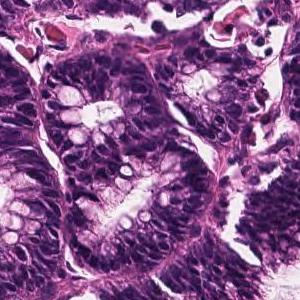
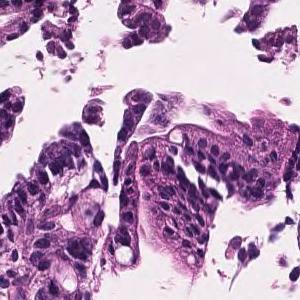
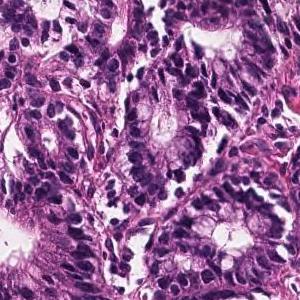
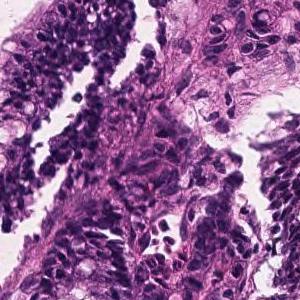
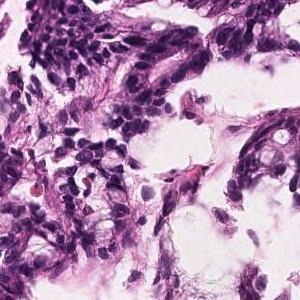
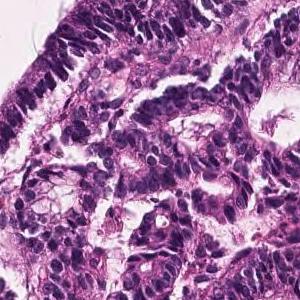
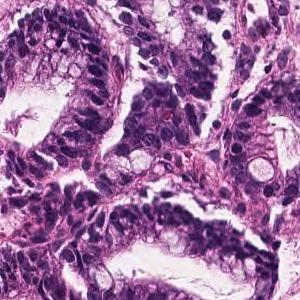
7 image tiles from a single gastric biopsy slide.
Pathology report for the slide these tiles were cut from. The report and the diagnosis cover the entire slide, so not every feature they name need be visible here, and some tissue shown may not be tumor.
Cubic to columnar atypical epithelial cells proliferating showing papillary to papillary ductal structures is observed. Papillary adenocarcinoma.
